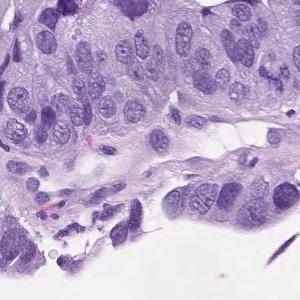
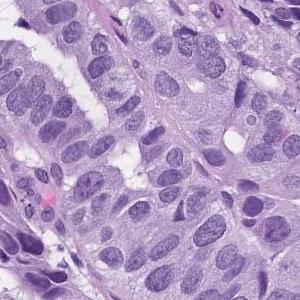
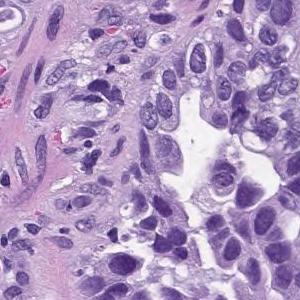
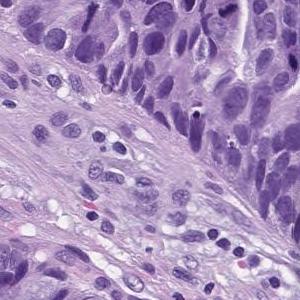
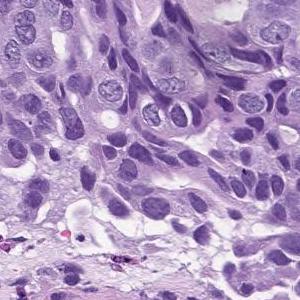
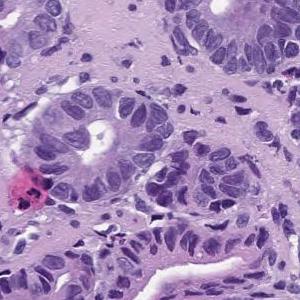
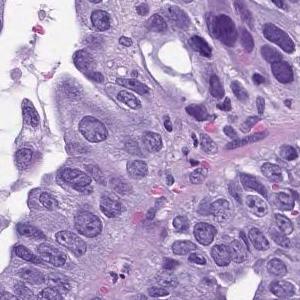
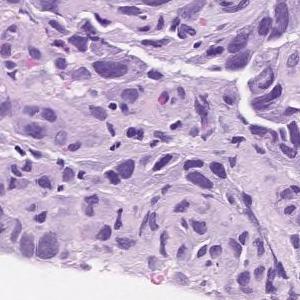
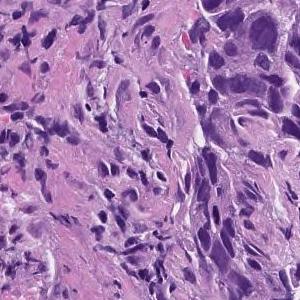
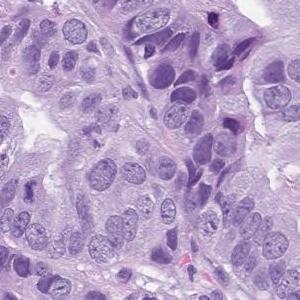
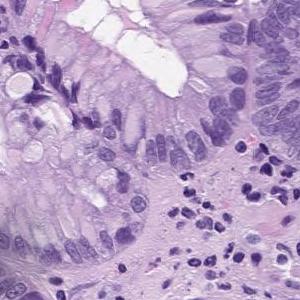
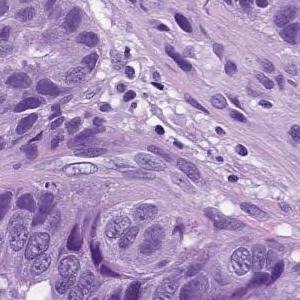
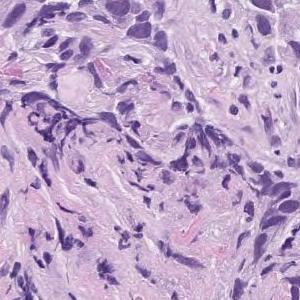
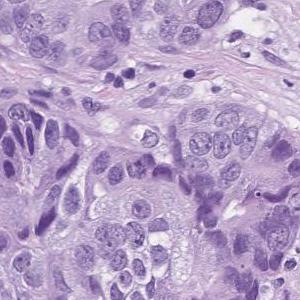
20× magnification · hematoxylin and eosin stain · 14 tiles cut from one stomach biopsy slide · 300×300 px each.
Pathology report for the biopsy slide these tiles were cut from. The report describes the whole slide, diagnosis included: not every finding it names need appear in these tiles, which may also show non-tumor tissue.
In the superficial epithelium, tumor tissue that invades by forming medium-sized to small, irregular ducts is observed. moderately differentiated tubular adenocarcinoma.
